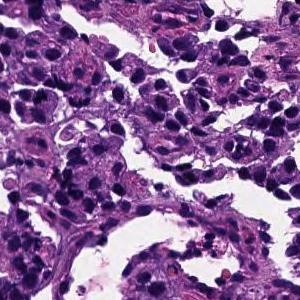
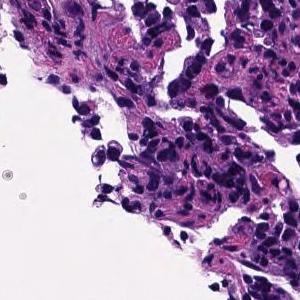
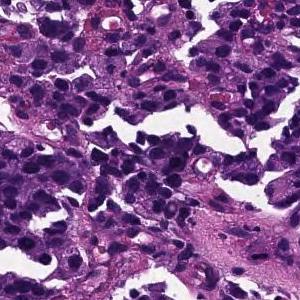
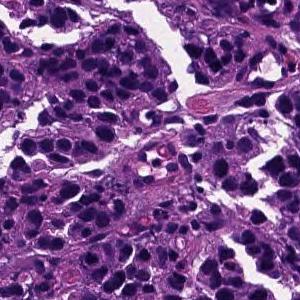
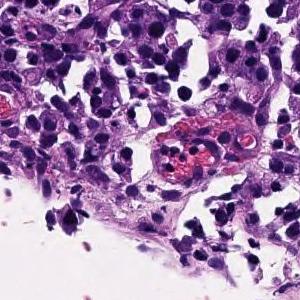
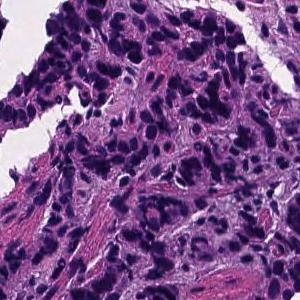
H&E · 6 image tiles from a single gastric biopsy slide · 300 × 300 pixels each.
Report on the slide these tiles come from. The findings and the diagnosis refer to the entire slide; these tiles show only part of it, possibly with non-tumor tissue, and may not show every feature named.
The superficial epithelium shows a large alveolar shape and infiltrates tumor tissue. Poorly differentiated adenocarcinoma, solid-type
Tumor subtype: poorly differentiated adenocarcinoma, solid type. This name comes from the Japanese Classification of Gastric Carcinoma; the WHO 2019 classification calls it tubular adenocarcinoma, poorly differentiated.
